×20, hematoxylin and eosin stain, 7 tiles from the same stomach biopsy slide, 300 × 300 pixels each.
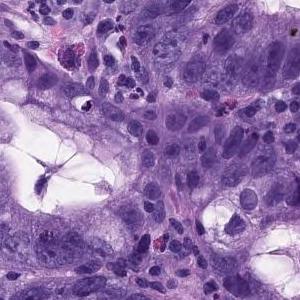
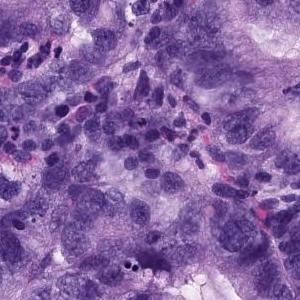
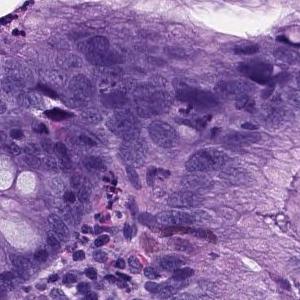
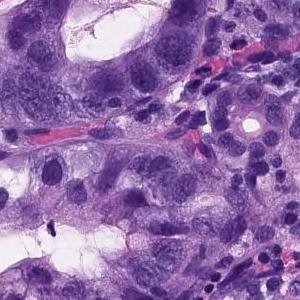
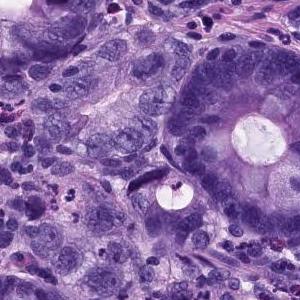
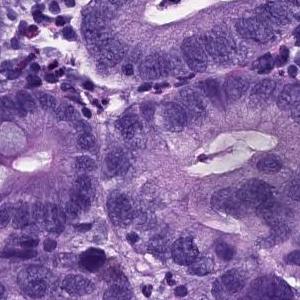
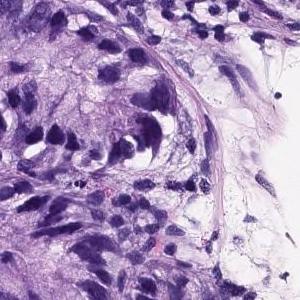
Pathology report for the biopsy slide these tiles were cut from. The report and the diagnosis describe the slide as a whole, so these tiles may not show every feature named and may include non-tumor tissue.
There are large atypical epithelial cells infiltrating and proliferating while forming atypical glandular cavities showing a fusion tendency. Moderately differentiated tubular adenocarcinoma.
